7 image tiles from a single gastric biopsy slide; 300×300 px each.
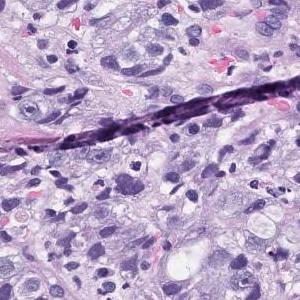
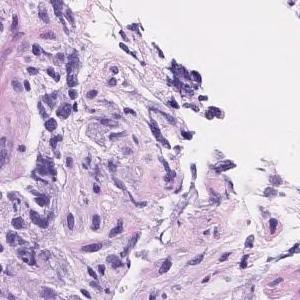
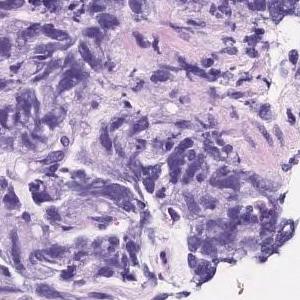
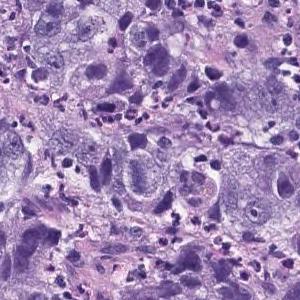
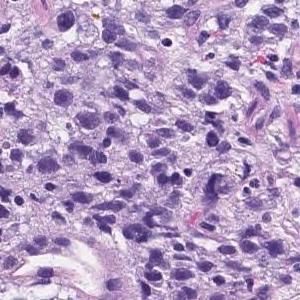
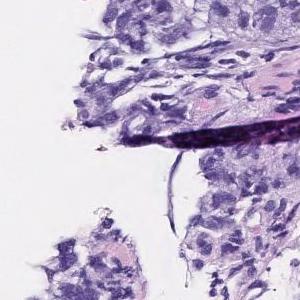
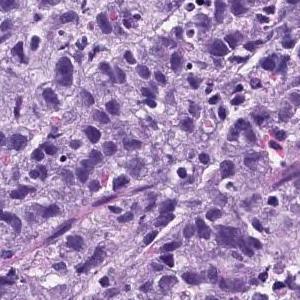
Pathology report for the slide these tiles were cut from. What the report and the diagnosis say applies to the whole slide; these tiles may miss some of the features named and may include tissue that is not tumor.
Atypical l cells with atypical nuclei forming solid vesicles or small irregular atypical ducts that proliferate in a complex manner. poorly differentiated adenocarcinoma, solid type, moderately differentiated tubular adenocarcinoma
The solid type named here is a Japanese Classification of Gastric Carcinoma category; WHO 2019 calls it tubular adenocarcinoma, poorly differentiated.
